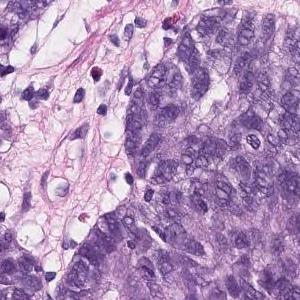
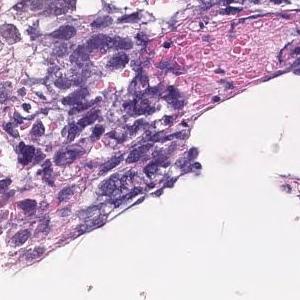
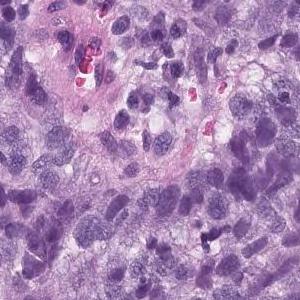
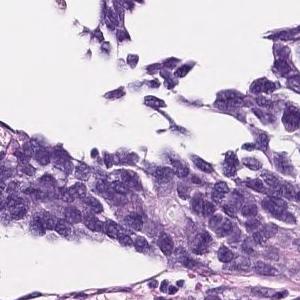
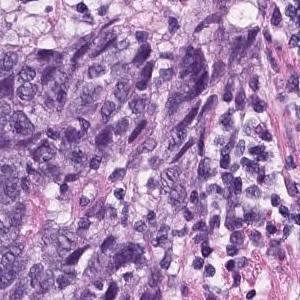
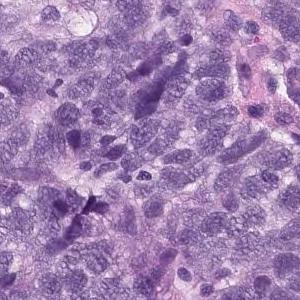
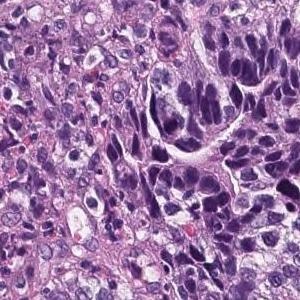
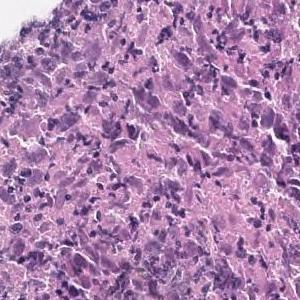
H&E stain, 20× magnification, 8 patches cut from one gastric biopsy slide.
Pathology report for the biopsy slide these tiles were cut from. The report and the diagnosis cover the entire slide, so not every feature they name need be visible here, and some tissue shown may not be tumor.
Epithelial cells with swollen nuclei with atypia invasively proliferating while forming vesicles is observed. Poorly differentiated adenocarcinoma
Histological subtype: Poorly differentiated adenocarcinoma, solid type, a category of the Japanese Classification of Gastric Carcinoma; in the WHO 2019 classification it is tubular adenocarcinoma, poorly differentiated.
